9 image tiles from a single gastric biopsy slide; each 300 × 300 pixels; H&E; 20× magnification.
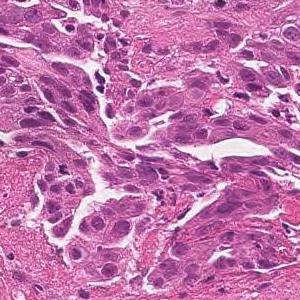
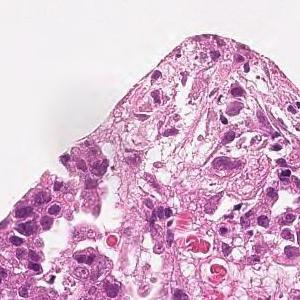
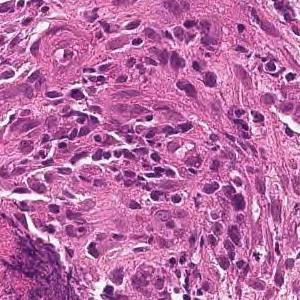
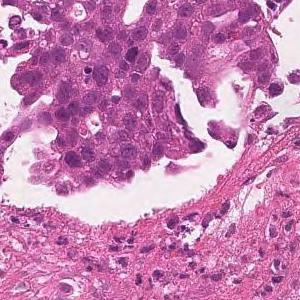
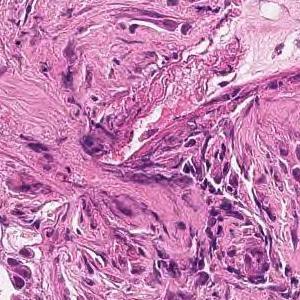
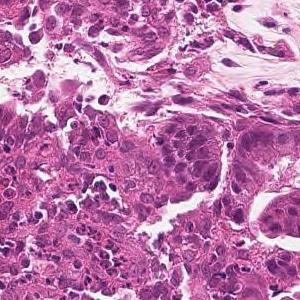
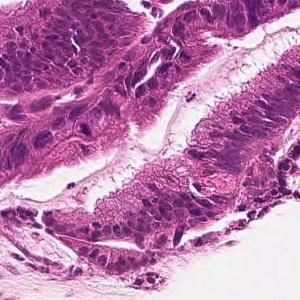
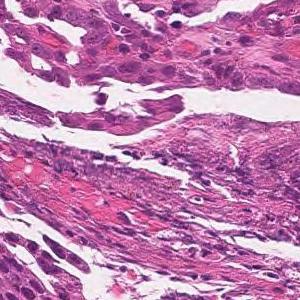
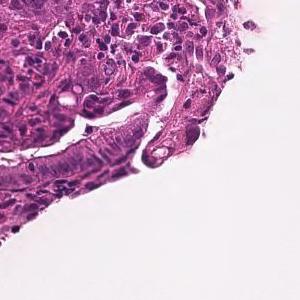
Diagnostic report for the slide these tiles come from. The report and the diagnosis cover the entire slide, so not every feature they name need be visible here, and some tissue shown may not be tumor.
Tumor tissue consisting of large papillary structures is found in the superficial epithelium. Papillary adenocarcinoma.
